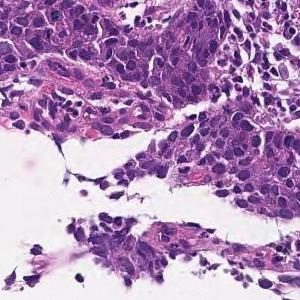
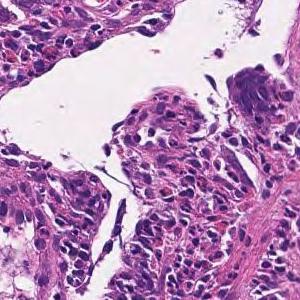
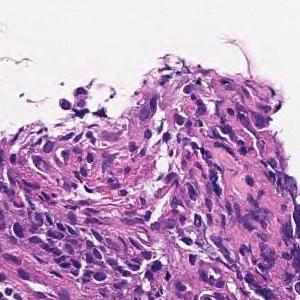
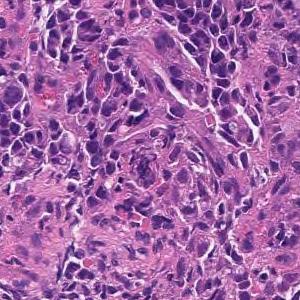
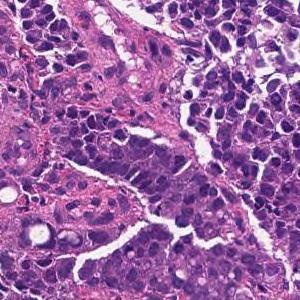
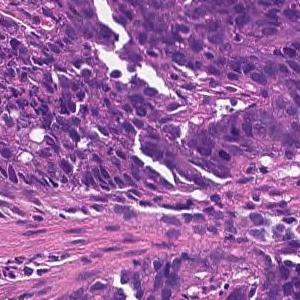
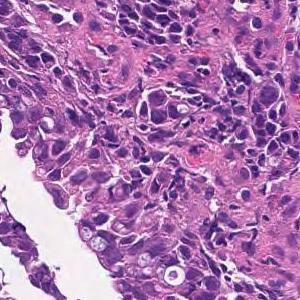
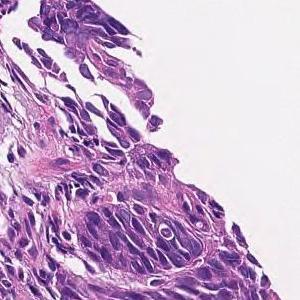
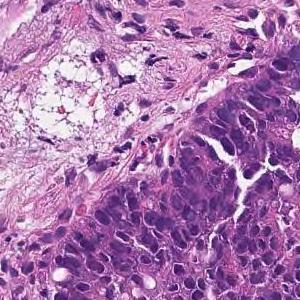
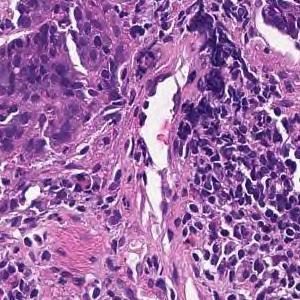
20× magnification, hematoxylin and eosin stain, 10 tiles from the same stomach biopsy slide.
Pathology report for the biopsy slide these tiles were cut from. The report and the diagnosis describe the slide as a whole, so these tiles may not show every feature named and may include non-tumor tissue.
Tumor tissue consisting of cord-like or small, irregular glandular ducts fused and infiltrated is observed in the superficial epithelium. Poorly differentiated adenocarcinoma, non-solid type
"Non-solid type" is a category of the Japanese Classification of Gastric Carcinoma.
